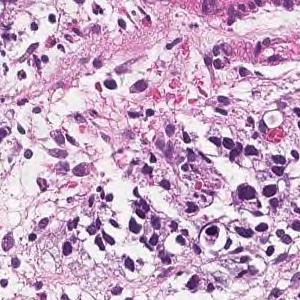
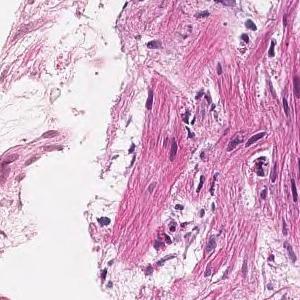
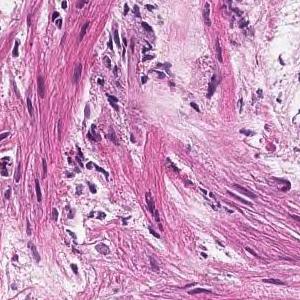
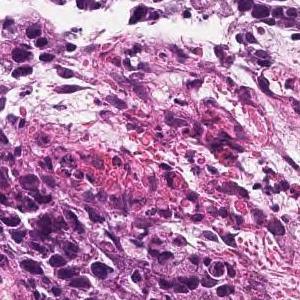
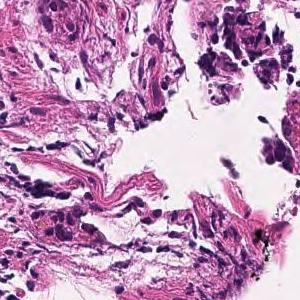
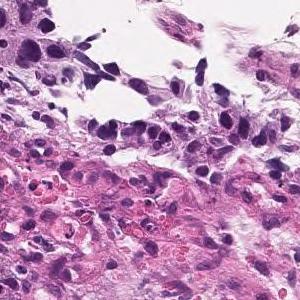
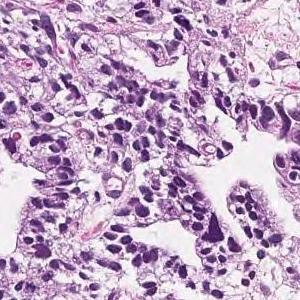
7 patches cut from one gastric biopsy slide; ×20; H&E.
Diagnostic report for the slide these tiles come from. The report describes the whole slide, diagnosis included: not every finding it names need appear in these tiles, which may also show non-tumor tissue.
In the superficial epithelium, tumor tissue that invades by forming medium-sized to small, irregular ducts is observed. moderately differentiated tubular adenocarcinoma.
